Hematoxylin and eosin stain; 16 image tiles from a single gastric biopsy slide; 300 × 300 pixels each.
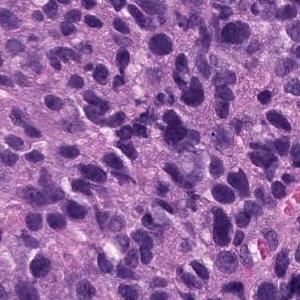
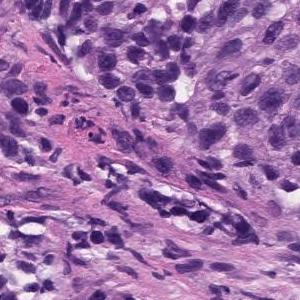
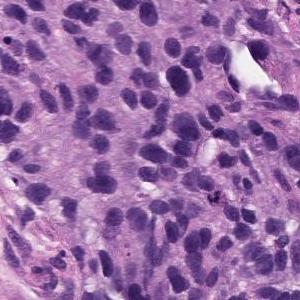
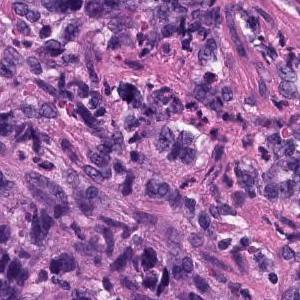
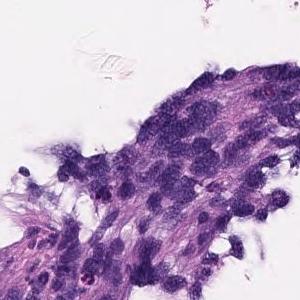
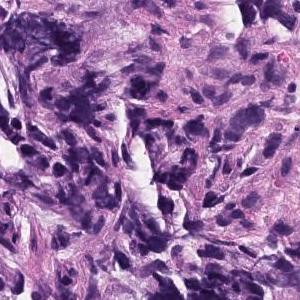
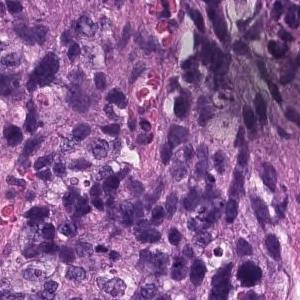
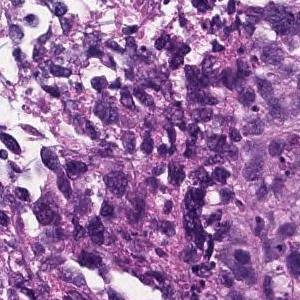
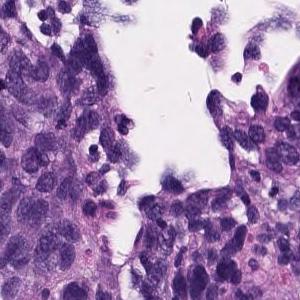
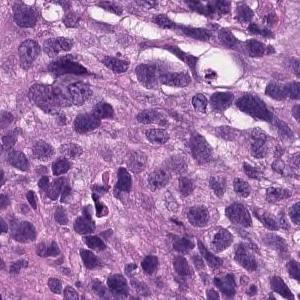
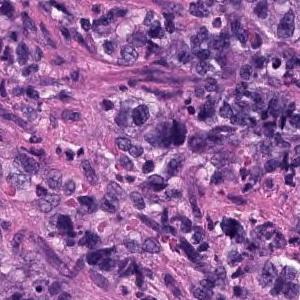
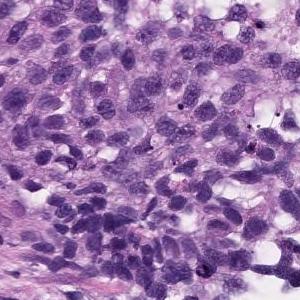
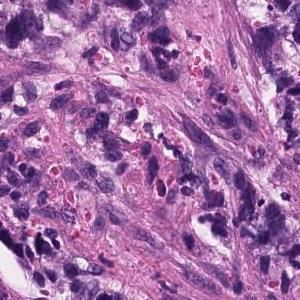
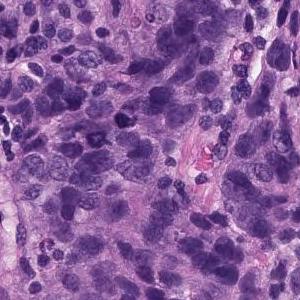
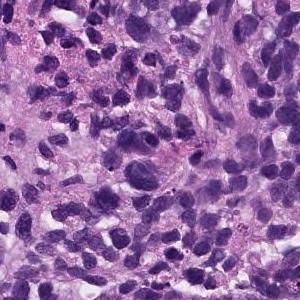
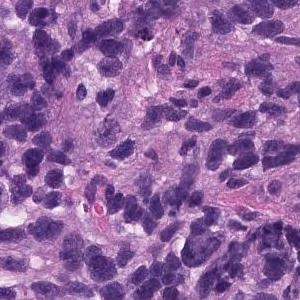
Diagnostic report for the slide these tiles come from. The findings and the diagnosis refer to the entire slide; these tiles show only part of it, possibly with non-tumor tissue, and may not show every feature named.
Atypical l cells with atypical nuclei under the mucosa growing in isolation and scattered. Poorly differentiated adenocarcinoma (poorly differentiated adenocarcinoma, non-solid type)
Classified as poorly differentiated adenocarcinoma, non-solid type.
The term "non-solid type" comes from the Japanese Classification of Gastric Carcinoma.
